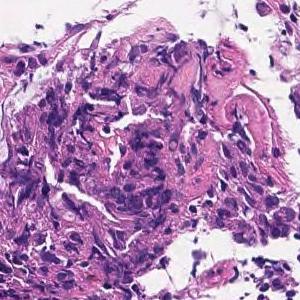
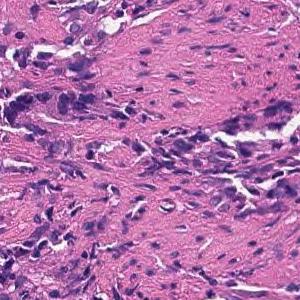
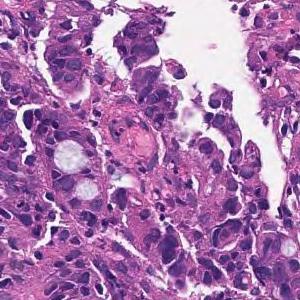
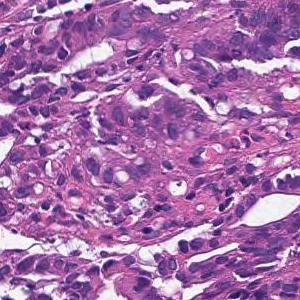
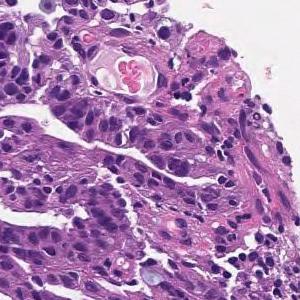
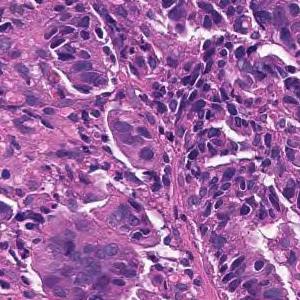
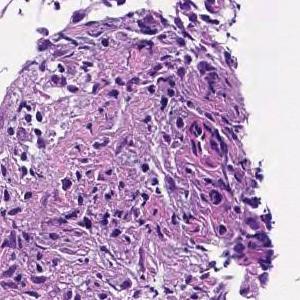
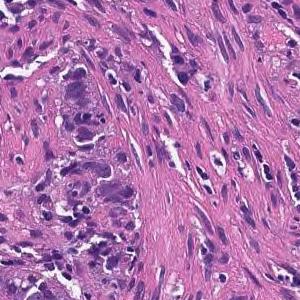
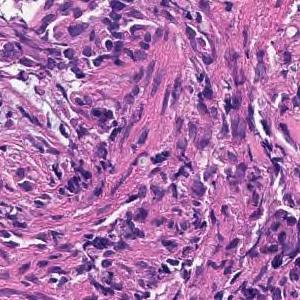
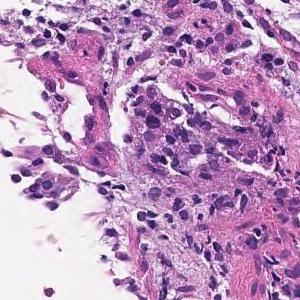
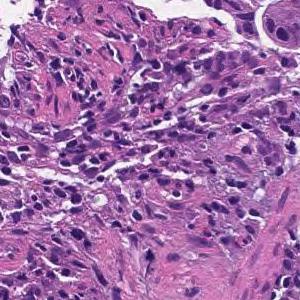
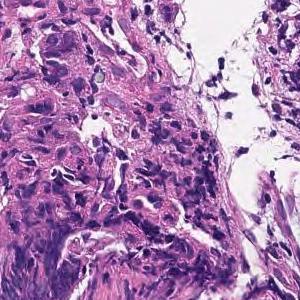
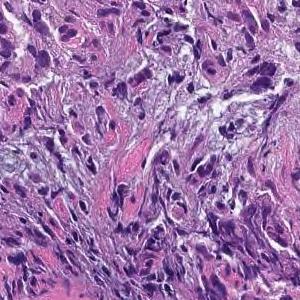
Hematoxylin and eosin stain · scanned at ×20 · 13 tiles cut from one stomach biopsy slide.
Diagnostic report for the slide these tiles come from. Both the report and the diagnosis are for the whole slide: these tiles need not show every feature named, and some of the tissue shown may not be tumor.
On the superficial epithelium, tumor tissue consisting of large, irregular glandular ducts partially fused and infiltrated is observed. Well to moderately differentiated tubular adenocarcinoma (well differentiated tubular adenocarcinoma, moderately differentiated tubular adenocarcinoma)
Histologic type: Well to moderately differentiated tubular adenocarcinoma.
